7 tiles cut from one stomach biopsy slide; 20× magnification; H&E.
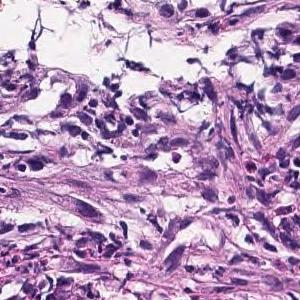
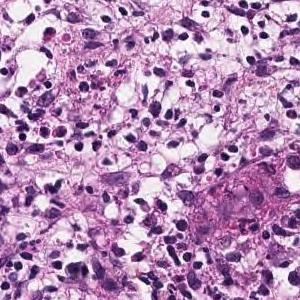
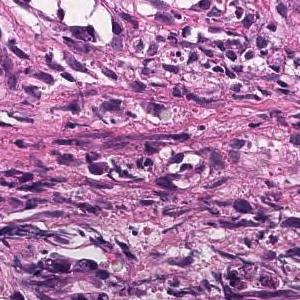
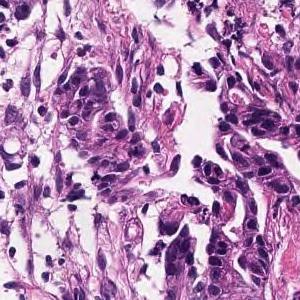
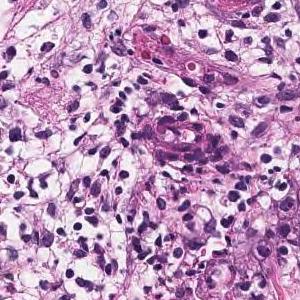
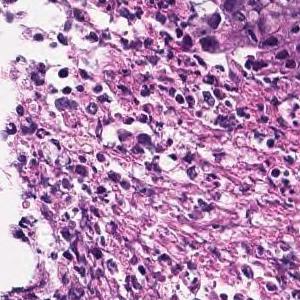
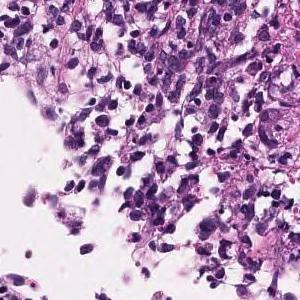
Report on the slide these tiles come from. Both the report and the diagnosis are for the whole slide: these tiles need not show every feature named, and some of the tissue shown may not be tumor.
In the superficial epithelium, medium to small, irregular gland ducts are formed, and in some cases, the gland ducts are fused to show solid alveolar lesions and infiltrating tumor tissue is observed. Moderately to poorly differentiated adenocarcinoma.
